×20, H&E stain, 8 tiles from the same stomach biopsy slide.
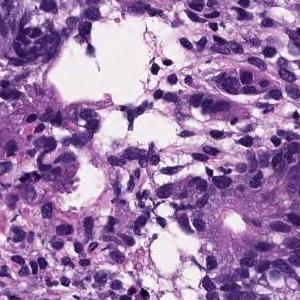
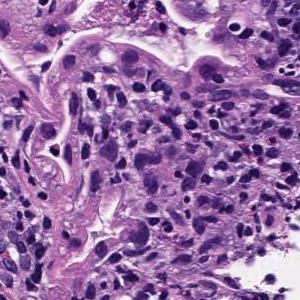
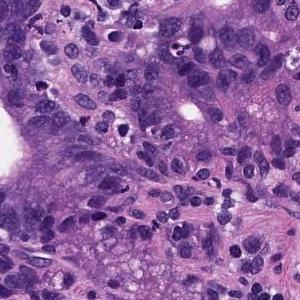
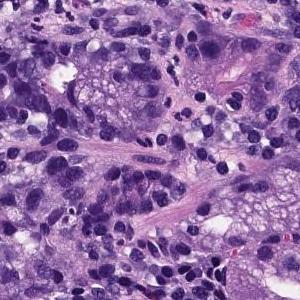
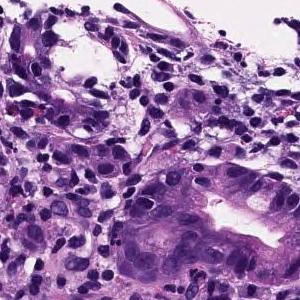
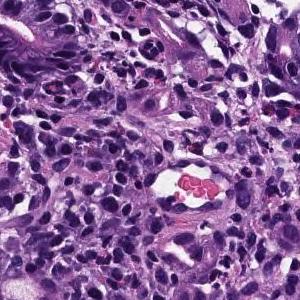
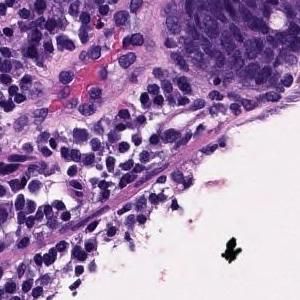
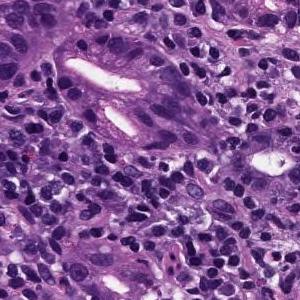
Diagnostic report for the slide these tiles come from. The findings and the diagnosis refer to the entire slide; these tiles show only part of it, possibly with non-tumor tissue, and may not show every feature named.
Medium to small, irregular glandular ducts are formed in the superficial epithelium, and in some cases, the glandular ducts are fused to show solid alveolar lesions and infiltrating tumor tissue is observed. Moderately to poorly differentiated adenocarcinoma.
